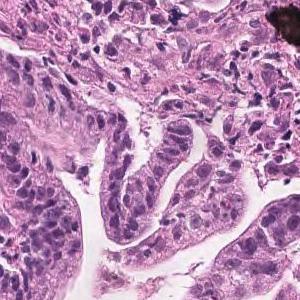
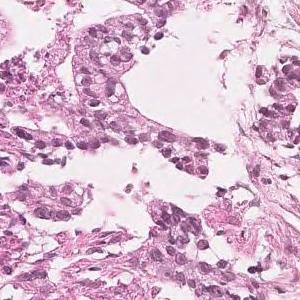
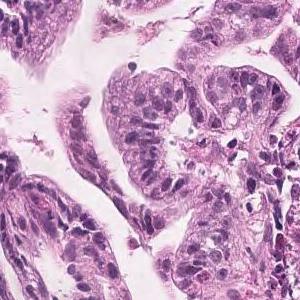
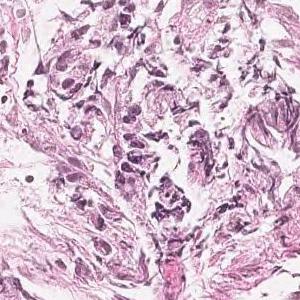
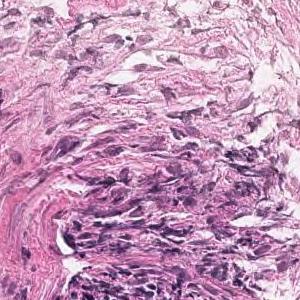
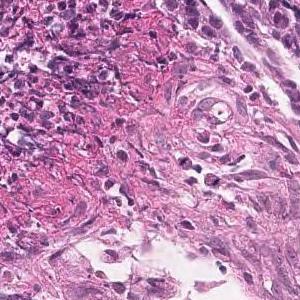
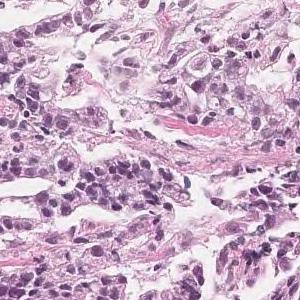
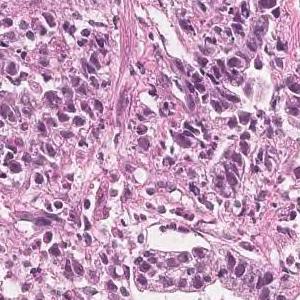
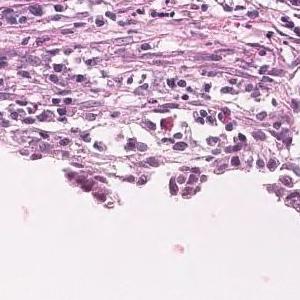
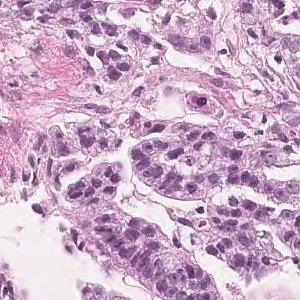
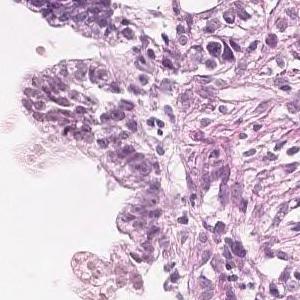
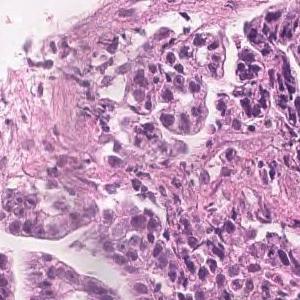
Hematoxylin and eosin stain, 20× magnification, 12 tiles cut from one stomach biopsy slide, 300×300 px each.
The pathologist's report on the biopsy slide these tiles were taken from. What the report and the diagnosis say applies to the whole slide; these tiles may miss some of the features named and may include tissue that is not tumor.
Tumor tissue in which highly columnar atypical epithelial cells with nuclear enlargement and increased nuclear chromatin show papillary to papillary ductal structure and proliferate is observed. Papillary adenocarcinoma.
